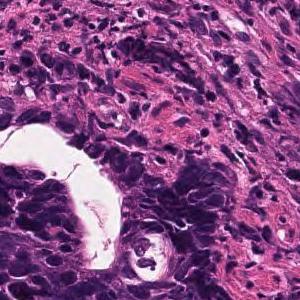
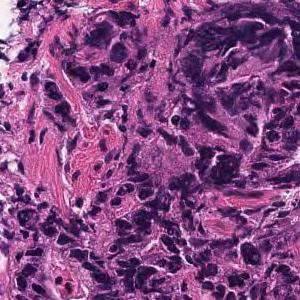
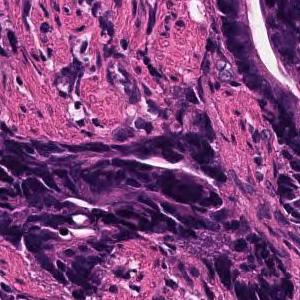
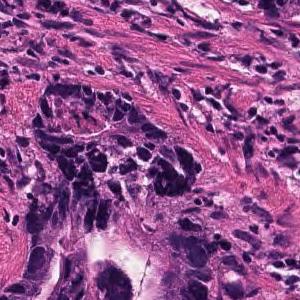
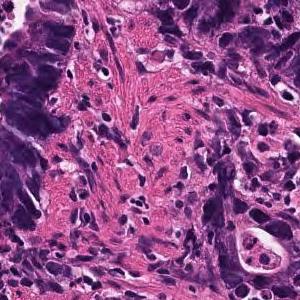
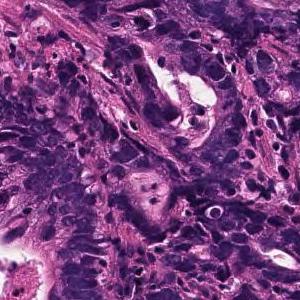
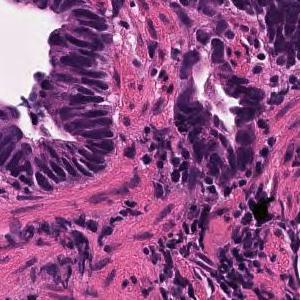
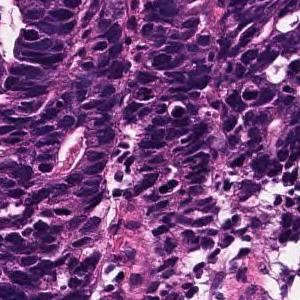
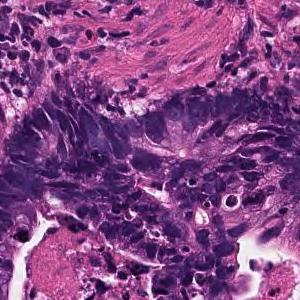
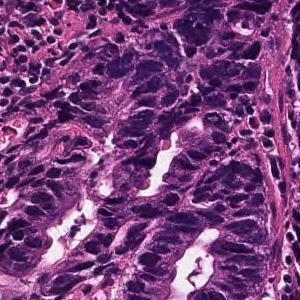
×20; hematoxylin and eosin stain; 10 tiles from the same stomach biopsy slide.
Pathology report for the biopsy slide these tiles were cut from. What the report and the diagnosis say applies to the whole slide; these tiles may miss some of the features named and may include tissue that is not tumor.
Large and small irregular small glandular ducts forming and infiltrating. moderately differentiated tubular adenocarcinoma
